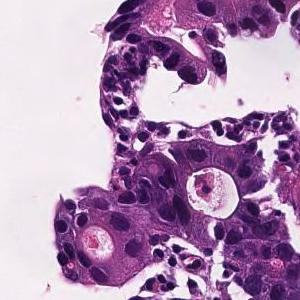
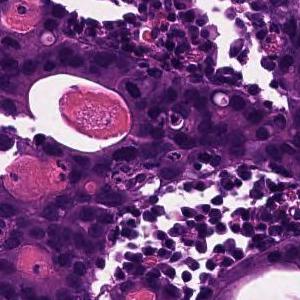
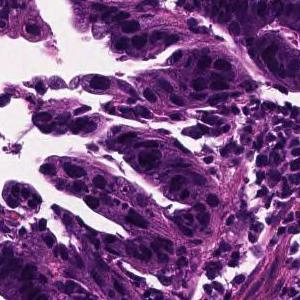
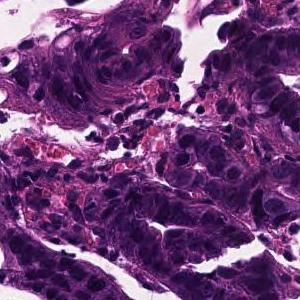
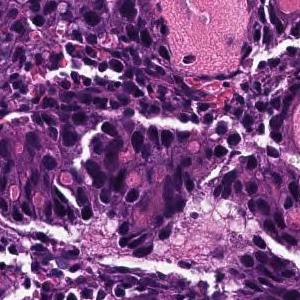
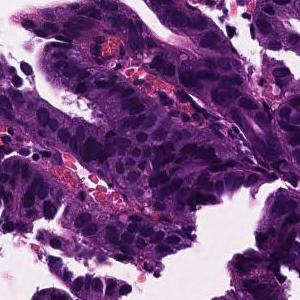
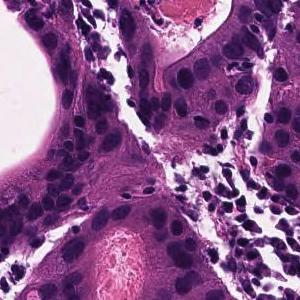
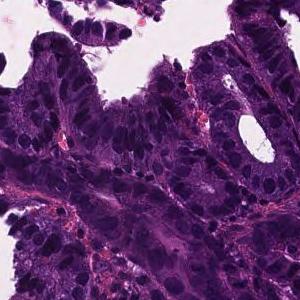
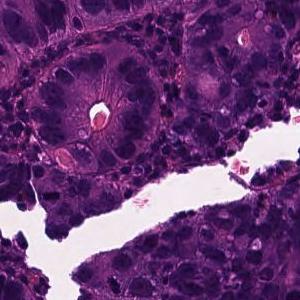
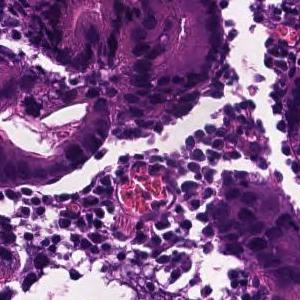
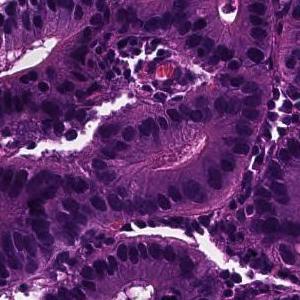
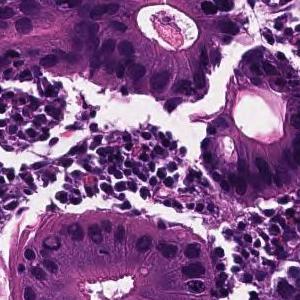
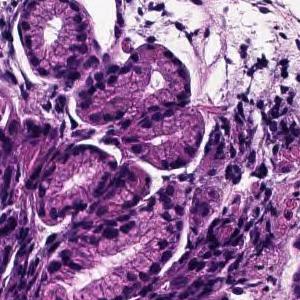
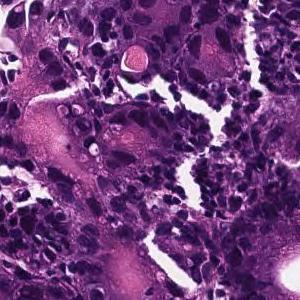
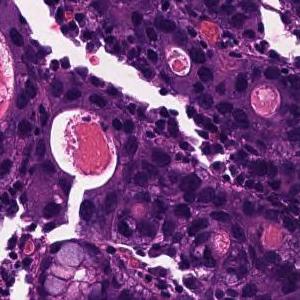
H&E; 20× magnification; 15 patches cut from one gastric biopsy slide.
Diagnostic report for the slide these tiles come from. The findings and the diagnosis refer to the entire slide; these tiles show only part of it, possibly with non-tumor tissue, and may not show every feature named.
From the superficial epithelium to the muscularis mucosae, tumor tissue infiltrating by forming medium-sized irregular gland ducts is observed. Large tumor cells exhibit large nucleus and hyperchromatism. Well differentiated tubular adenocarcinoma
